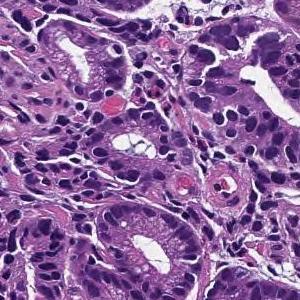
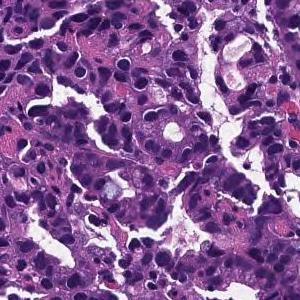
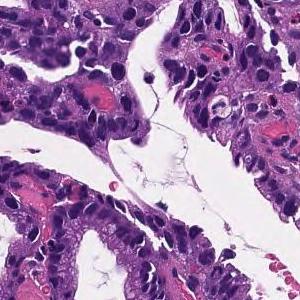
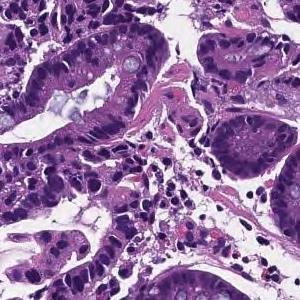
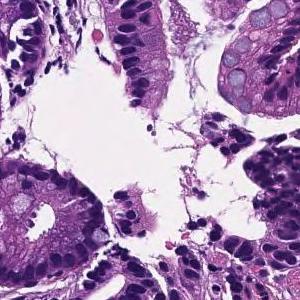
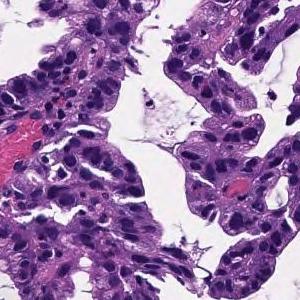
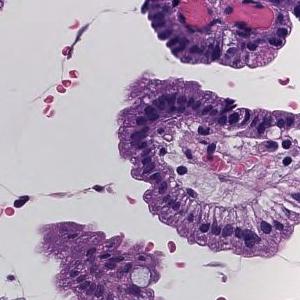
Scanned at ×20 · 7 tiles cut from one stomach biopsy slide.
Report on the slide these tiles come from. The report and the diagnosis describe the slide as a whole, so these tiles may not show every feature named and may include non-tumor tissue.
Tumor cells are large, highly columnar, large club-shaped nuclei, and are associated with chromatin aggregation. Papillary adenocarcinoma.
